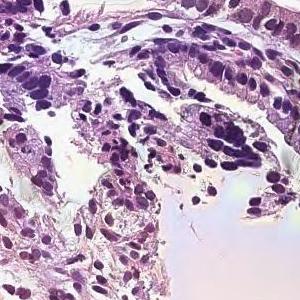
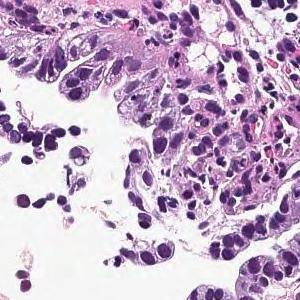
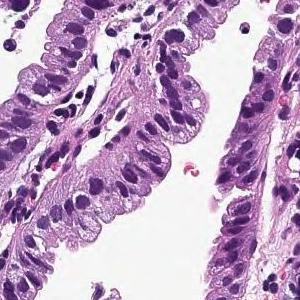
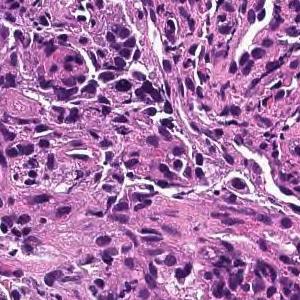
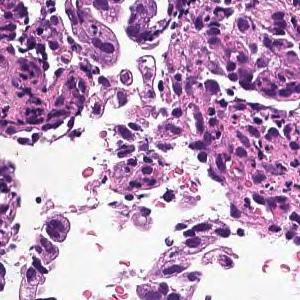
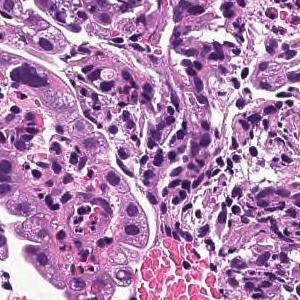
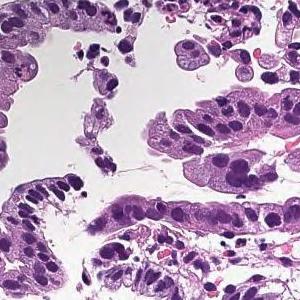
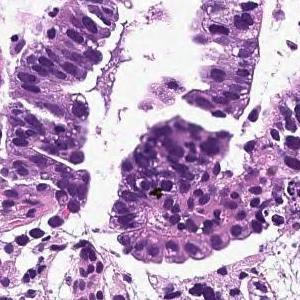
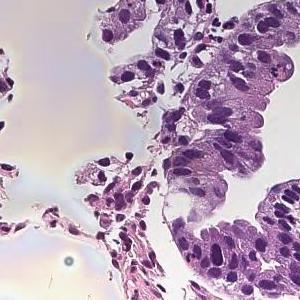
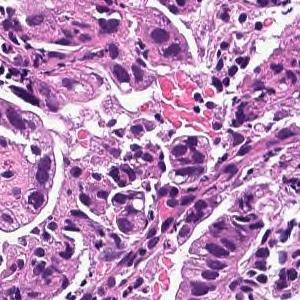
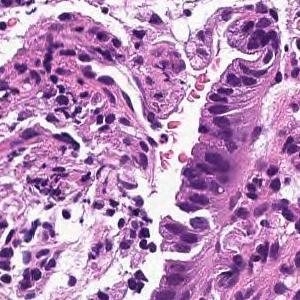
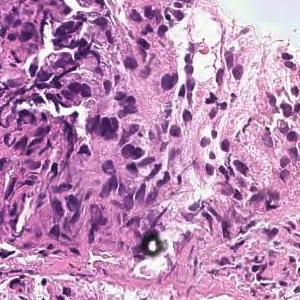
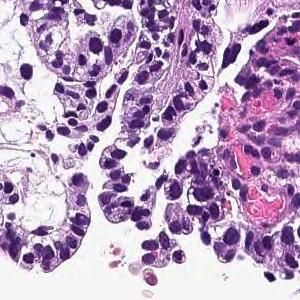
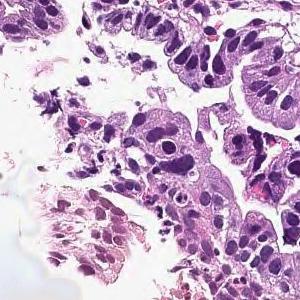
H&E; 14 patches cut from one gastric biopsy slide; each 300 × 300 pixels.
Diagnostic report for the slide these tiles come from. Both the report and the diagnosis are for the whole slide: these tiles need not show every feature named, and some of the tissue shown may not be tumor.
On the superficial epithelium, tumor tissue that infiltrates by forming medium-sized papillary or small irregular ducts is observed. Papillary adenocarcinoma
